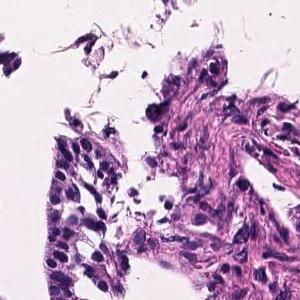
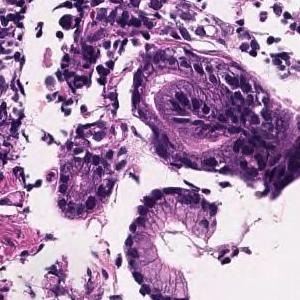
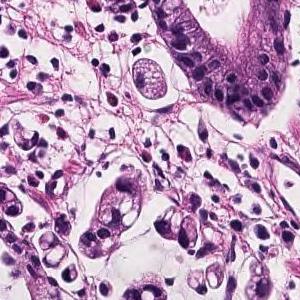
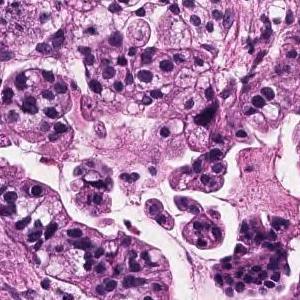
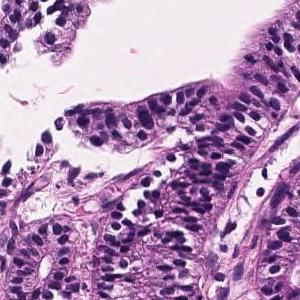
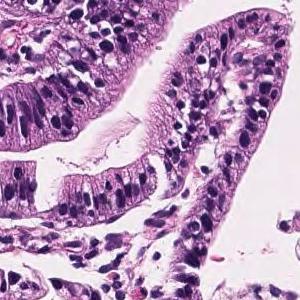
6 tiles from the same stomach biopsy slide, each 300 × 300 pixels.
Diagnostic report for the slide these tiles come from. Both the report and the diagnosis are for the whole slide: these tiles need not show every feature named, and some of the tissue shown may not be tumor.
Tumor tissue consisting of large papillary structures or irregular glandular ducts partially fused and infiltrated is observed in the superficial epithelium. Well to moderately differentiated tubular adenocarcinoma.
The dataset labels this slide moderately differentiated tubular adenocarcinoma.
